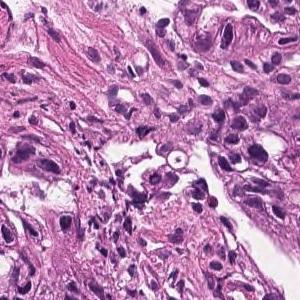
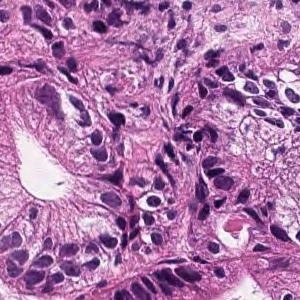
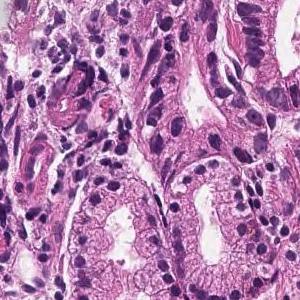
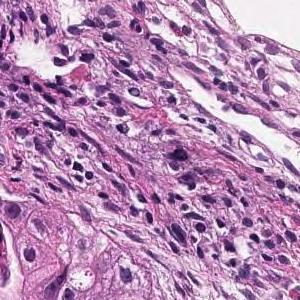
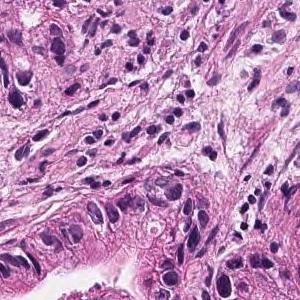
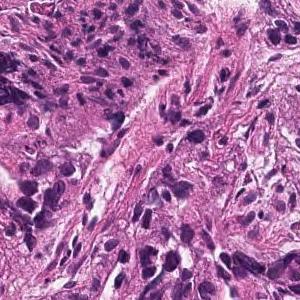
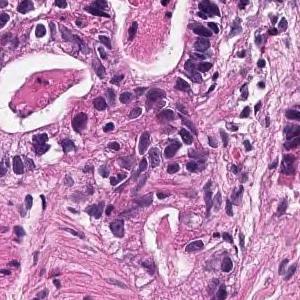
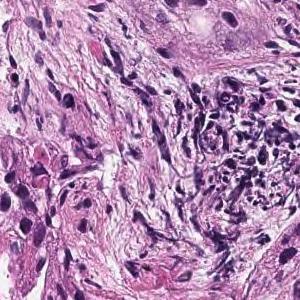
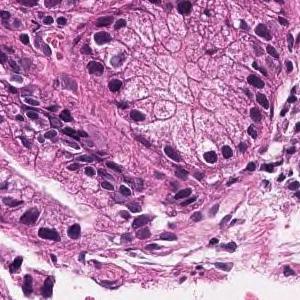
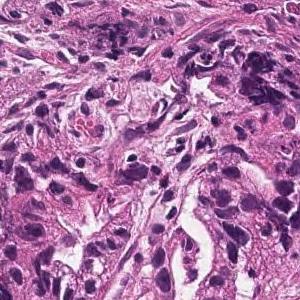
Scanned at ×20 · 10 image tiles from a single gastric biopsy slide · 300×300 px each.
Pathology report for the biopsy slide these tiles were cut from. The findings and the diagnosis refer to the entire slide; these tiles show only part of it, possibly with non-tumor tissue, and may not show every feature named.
From the superficial epithelium to the muscularis mucosae, tumor tissue infiltrating by forming medium-sized irregular gland ducts is observed. Large tumor cells exhibit large nucleus and hyperchromatism. Well differentiated tubular adenocarcinoma
